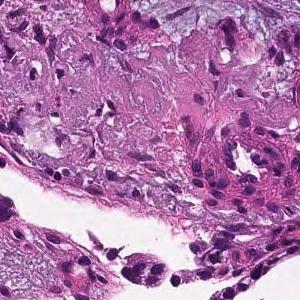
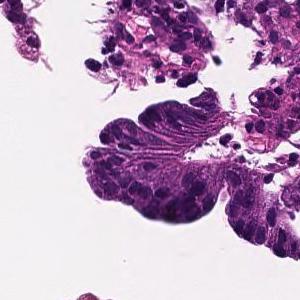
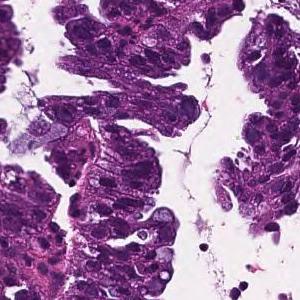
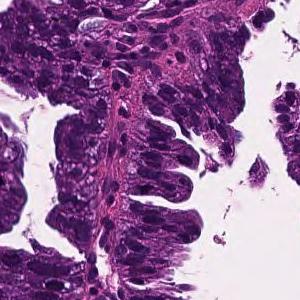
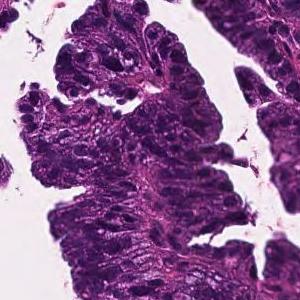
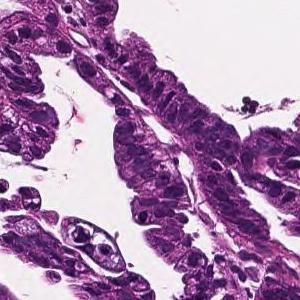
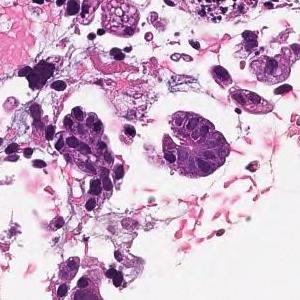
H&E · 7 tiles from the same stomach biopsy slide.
Report on the slide these tiles come from. The report and the diagnosis cover the entire slide, so not every feature they name need be visible here, and some tissue shown may not be tumor.
Tumor cells are large, highly columnar, large club-shaped nuclei, and are associated with chromatin aggregation. Papillary adenocarcinoma.
